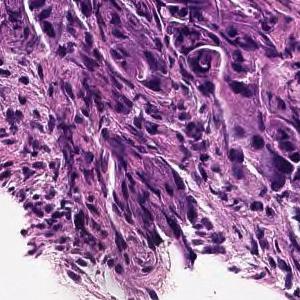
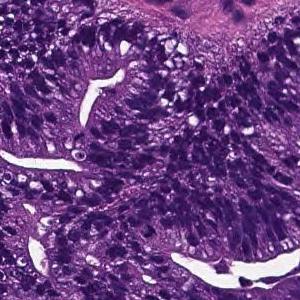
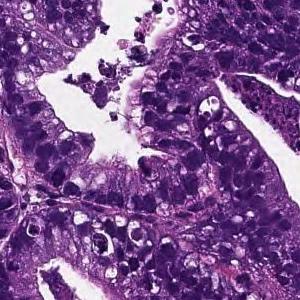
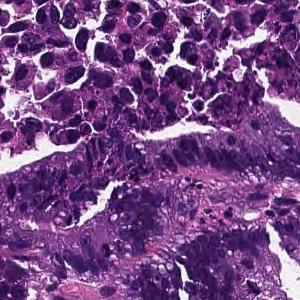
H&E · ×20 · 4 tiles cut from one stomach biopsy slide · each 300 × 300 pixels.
Pathology report for the slide these tiles were cut from. The report and the diagnosis cover the entire slide, so not every feature they name need be visible here, and some tissue shown may not be tumor.
Tumor cells are large, highly columnar, large club-shaped nuclei, and are associated with chromatin aggregation. Papillary adenocarcinoma.
